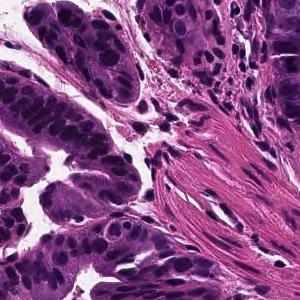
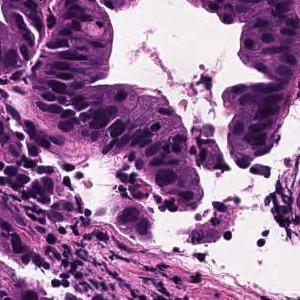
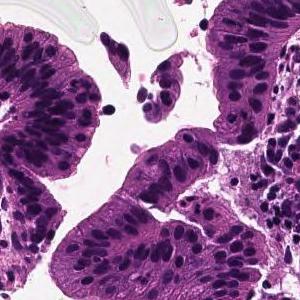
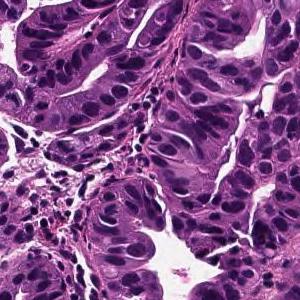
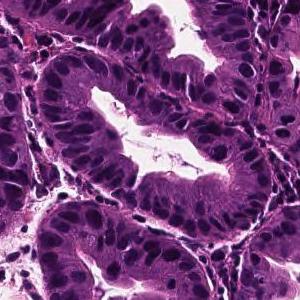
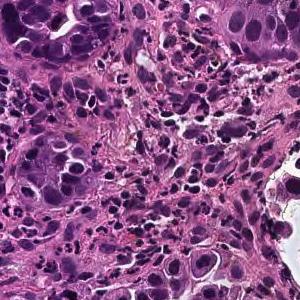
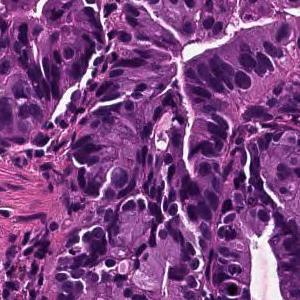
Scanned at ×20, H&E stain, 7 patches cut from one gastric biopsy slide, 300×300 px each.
Pathology report for the biopsy slide these tiles were cut from. What the report and the diagnosis say applies to the whole slide; these tiles may miss some of the features named and may include tissue that is not tumor.
Tumor cells are large, highly columnar, large club-shaped nuclei, and are associated with chromatin aggregation. Papillary adenocarcinoma.
